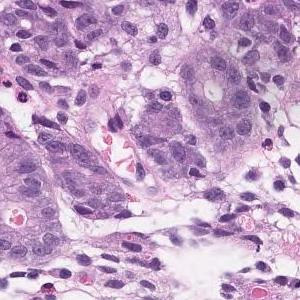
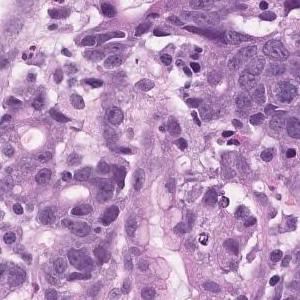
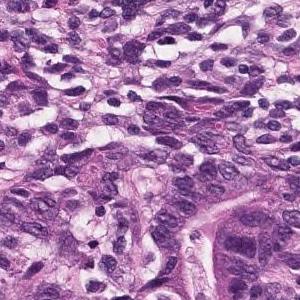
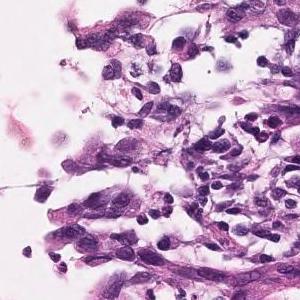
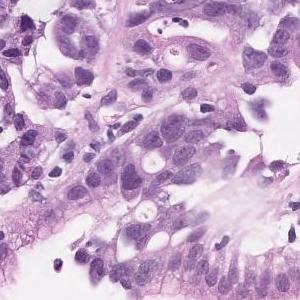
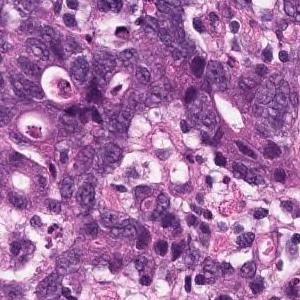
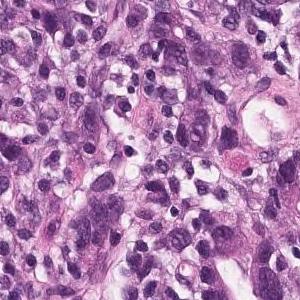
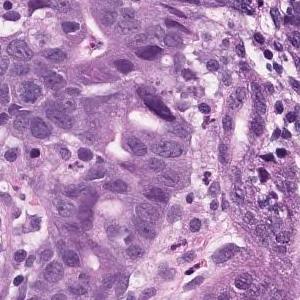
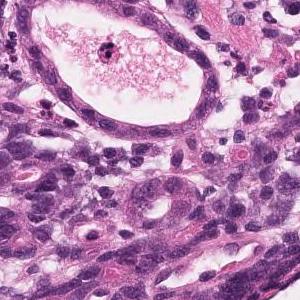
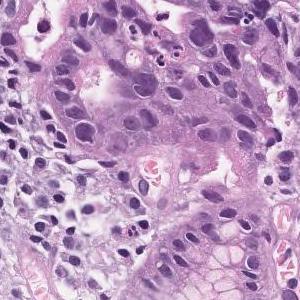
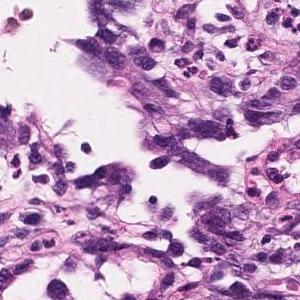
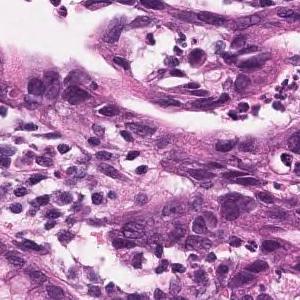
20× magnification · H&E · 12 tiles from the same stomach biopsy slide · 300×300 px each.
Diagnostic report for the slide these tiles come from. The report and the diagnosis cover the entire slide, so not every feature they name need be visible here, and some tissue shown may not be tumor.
It is mixed with the existing pit epithelium and pyloric gland epithelium, and irregularly fused and branched atypical ducts are observed. Moderately differentiated tubular adenocarcinoma (well differentiated tubular adenocarcinoma)
Labeled in the dataset as moderately differentiated tubular adenocarcinoma.
